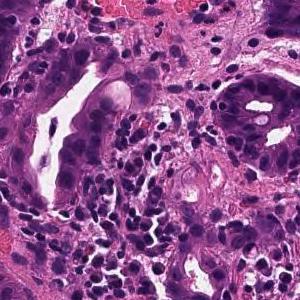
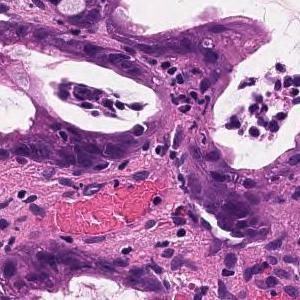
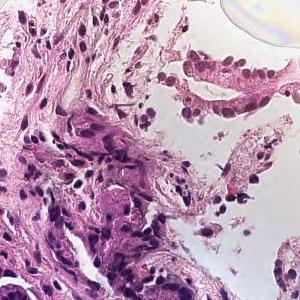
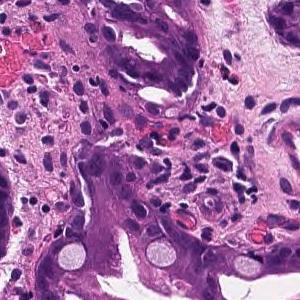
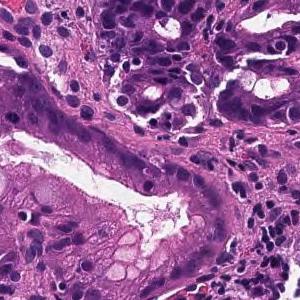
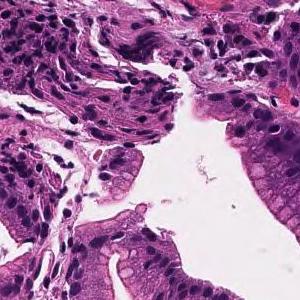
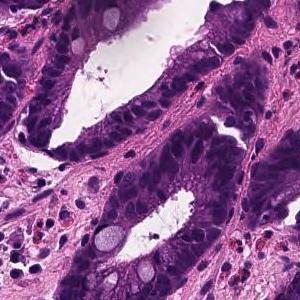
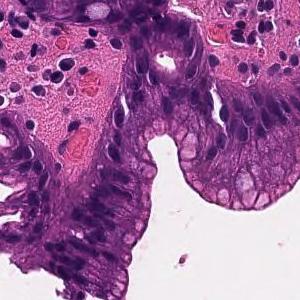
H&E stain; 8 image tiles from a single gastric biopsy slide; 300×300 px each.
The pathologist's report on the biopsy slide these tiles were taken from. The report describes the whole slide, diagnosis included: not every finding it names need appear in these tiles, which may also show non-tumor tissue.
From the superficial epithelium to the muscularis mucosae, tumor tissue consisting of medium-sized and irregular glandular ducts infiltrating is observed. Well differentiated tubular adenocarcinoma
